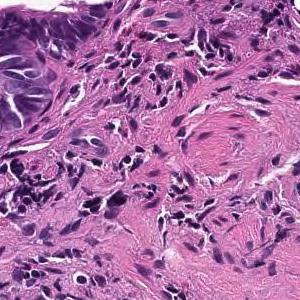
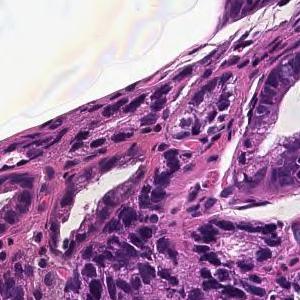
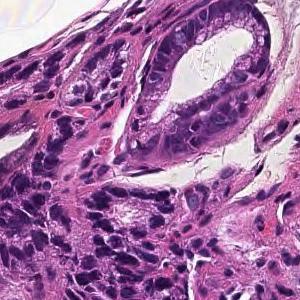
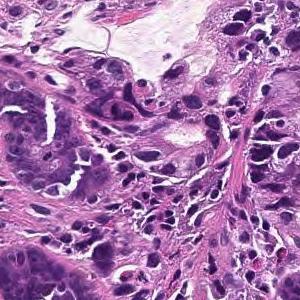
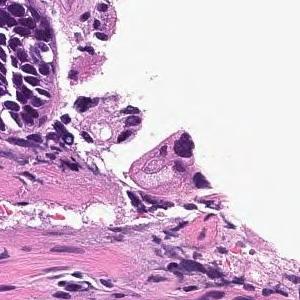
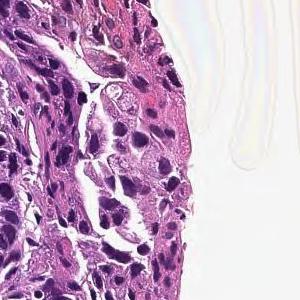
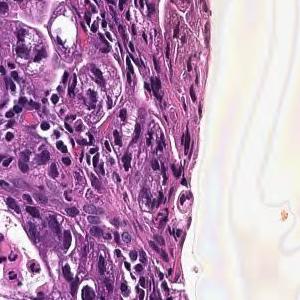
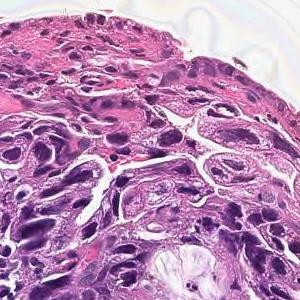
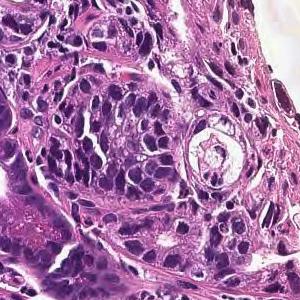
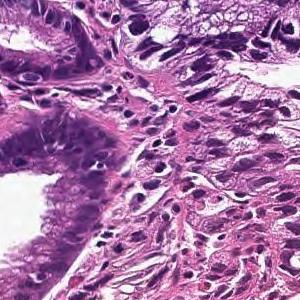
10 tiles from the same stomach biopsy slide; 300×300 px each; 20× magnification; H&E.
Pathology report for the biopsy slide these tiles were cut from. The report describes the whole slide, diagnosis included: not every finding it names need appear in these tiles, which may also show non-tumor tissue.
In the superficial epithelium, tumor tissue that invades by forming medium-sized to small, irregular ducts is observed. moderately differentiated tubular adenocarcinoma.
